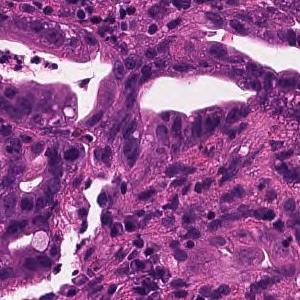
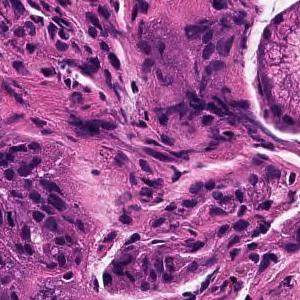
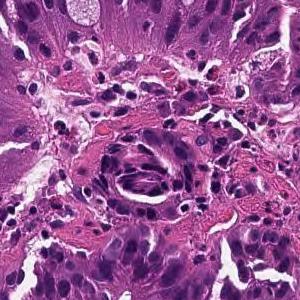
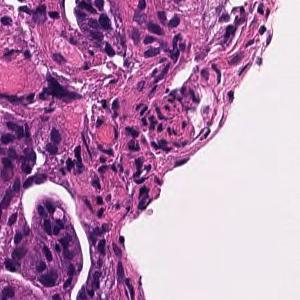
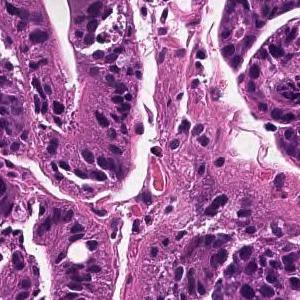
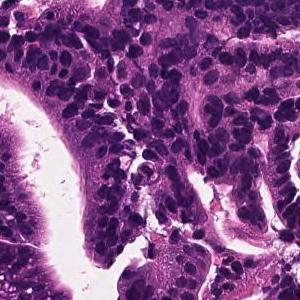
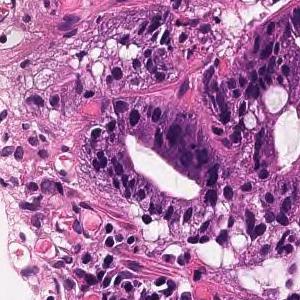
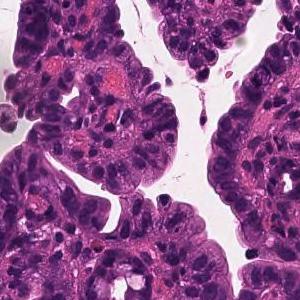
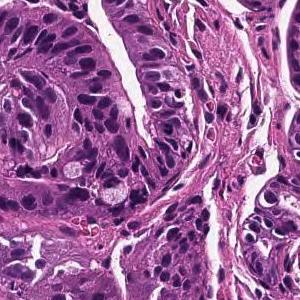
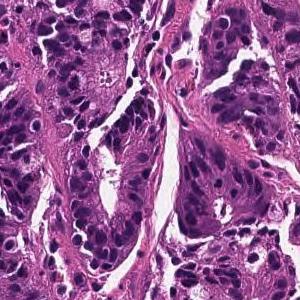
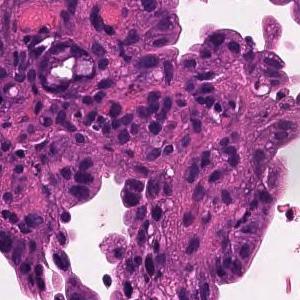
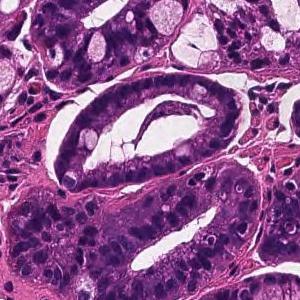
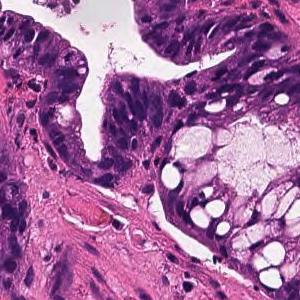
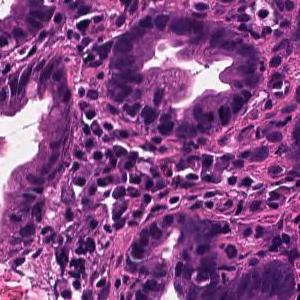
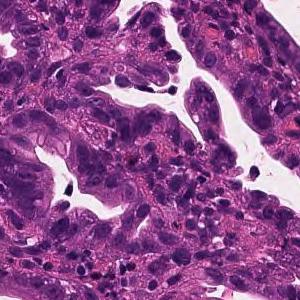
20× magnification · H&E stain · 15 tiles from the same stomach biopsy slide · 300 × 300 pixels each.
Pathology report for the slide these tiles were cut from. The findings and the diagnosis refer to the entire slide; these tiles show only part of it, possibly with non-tumor tissue, and may not show every feature named.
On the superficial epithelium, tumor tissue that infiltrates by forming medium-sized papillary or small irregular ducts is observed. Papillary adenocarcinoma
